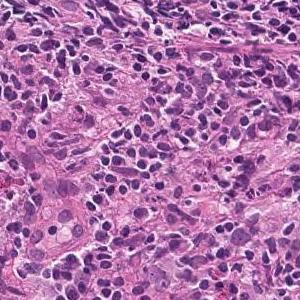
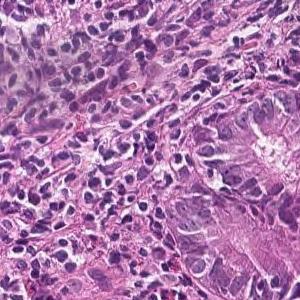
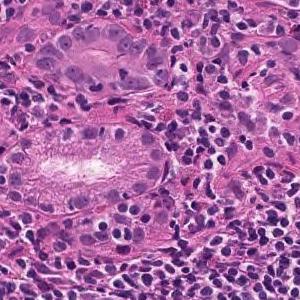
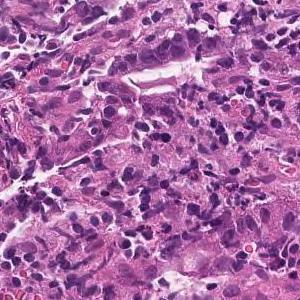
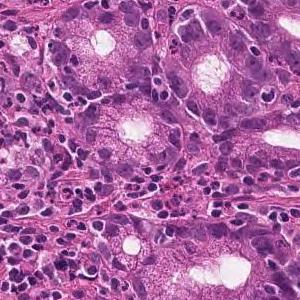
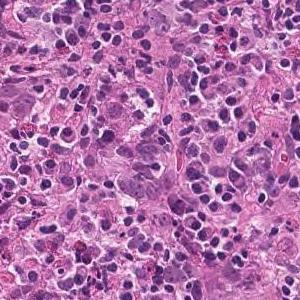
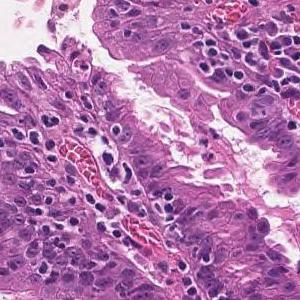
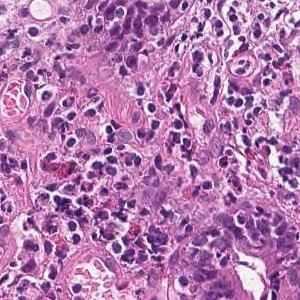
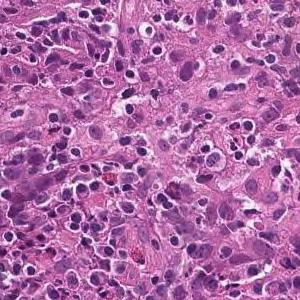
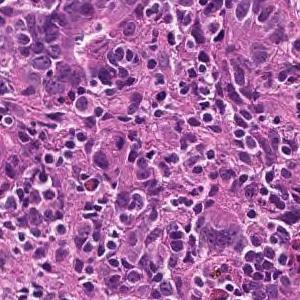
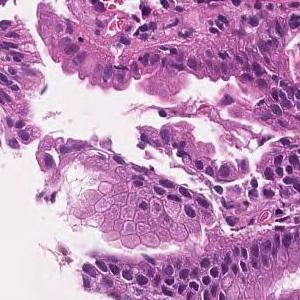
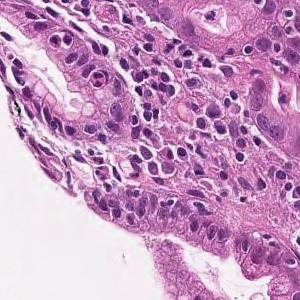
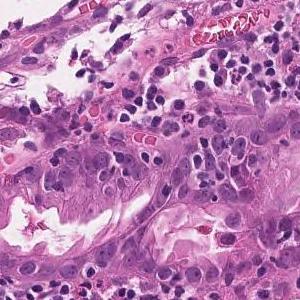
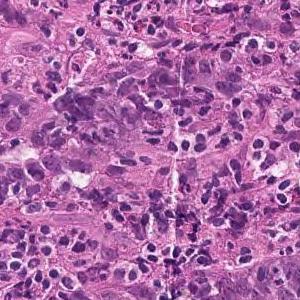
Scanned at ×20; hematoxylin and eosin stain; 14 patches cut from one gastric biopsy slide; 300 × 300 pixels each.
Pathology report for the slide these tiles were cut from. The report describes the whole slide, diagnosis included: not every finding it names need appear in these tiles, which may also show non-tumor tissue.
Tumor tissue consisting of medium-sized, cord-like or irregular glandular infiltration is observed in the superficial epithelium. Poorly differentiated adenocarcinoma, non-solid type or moderately differentiated tubular adenocarcinoma
Labeled in the dataset as poorly differentiated adenocarcinoma, non-solid type.
The non-solid type named here is a Japanese Classification of Gastric Carcinoma category.
